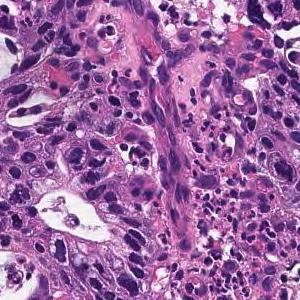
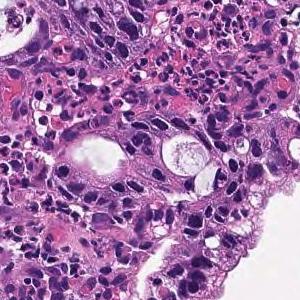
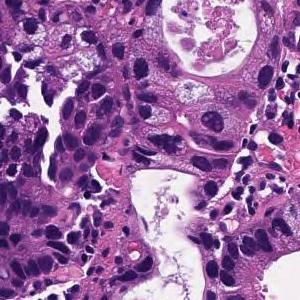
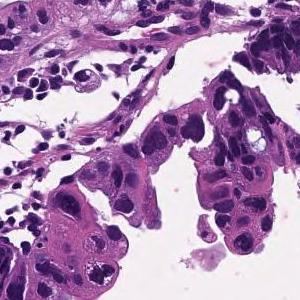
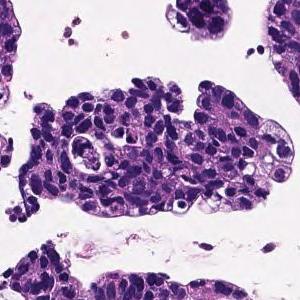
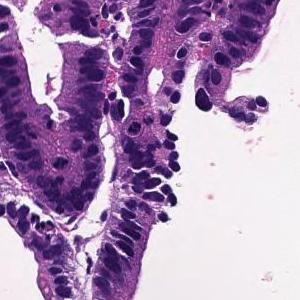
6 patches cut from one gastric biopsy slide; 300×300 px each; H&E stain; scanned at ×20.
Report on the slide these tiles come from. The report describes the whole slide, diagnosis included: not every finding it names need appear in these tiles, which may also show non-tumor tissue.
In the superficial epithelium, tumor tissue that invades by forming medium-sized to small, irregular ducts is observed. moderately differentiated tubular adenocarcinoma.
